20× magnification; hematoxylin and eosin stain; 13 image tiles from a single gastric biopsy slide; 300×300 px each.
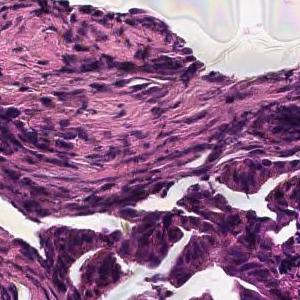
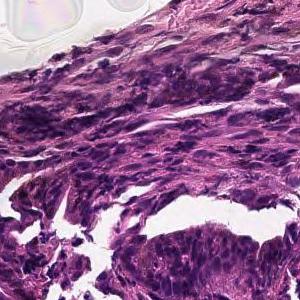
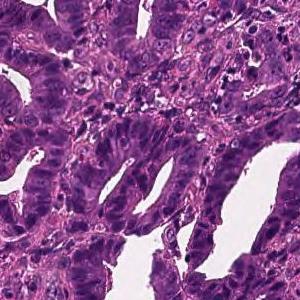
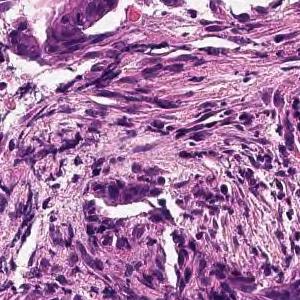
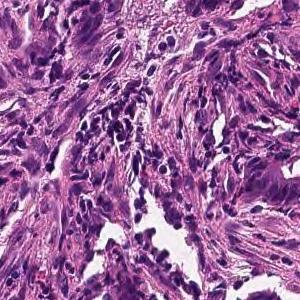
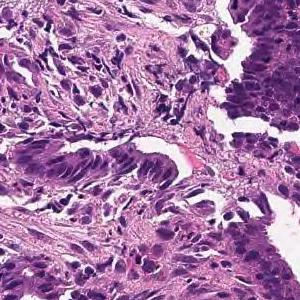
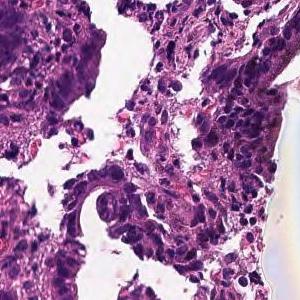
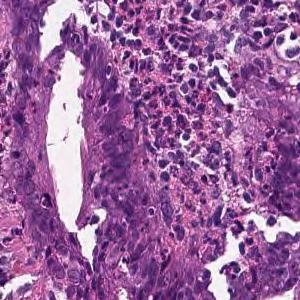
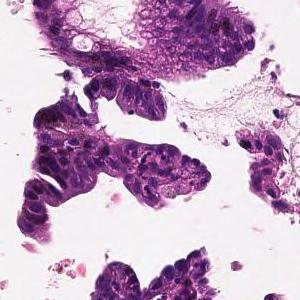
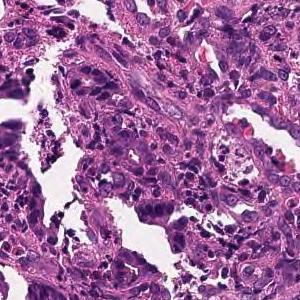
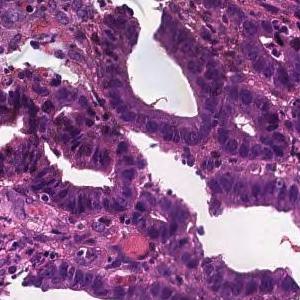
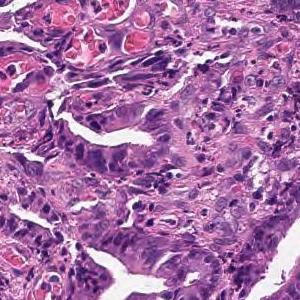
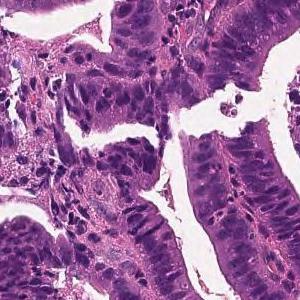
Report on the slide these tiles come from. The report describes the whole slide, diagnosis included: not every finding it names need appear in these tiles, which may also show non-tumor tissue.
From the superficial epithelium to the muscularis mucosae, tumor tissue consisting of medium-sized and irregular glandular ducts infiltrating is observed. Well differentiated tubular adenocarcinoma
